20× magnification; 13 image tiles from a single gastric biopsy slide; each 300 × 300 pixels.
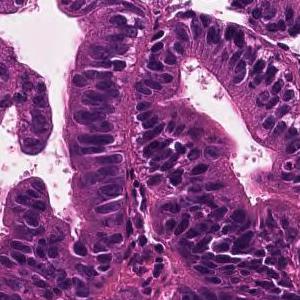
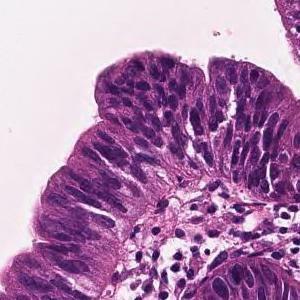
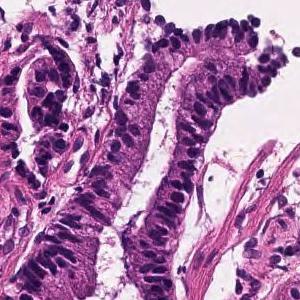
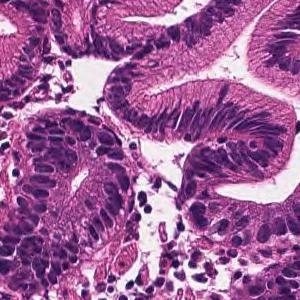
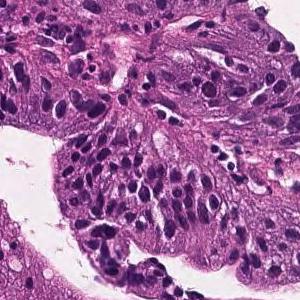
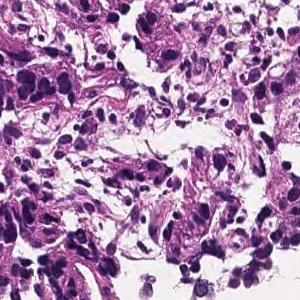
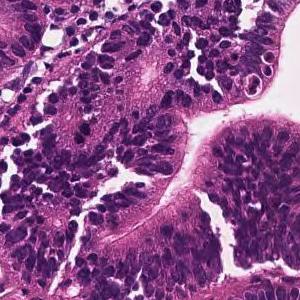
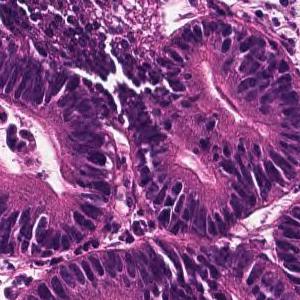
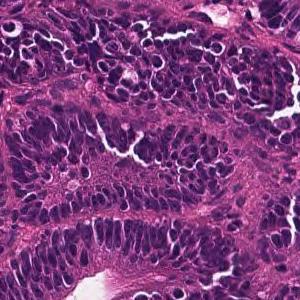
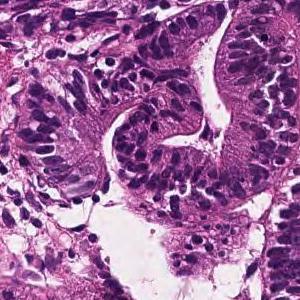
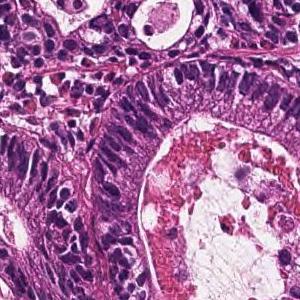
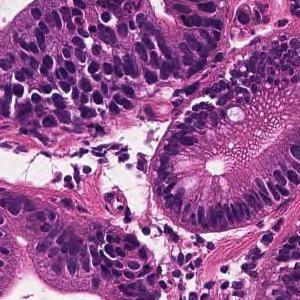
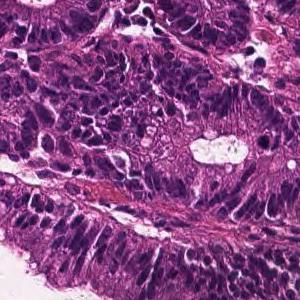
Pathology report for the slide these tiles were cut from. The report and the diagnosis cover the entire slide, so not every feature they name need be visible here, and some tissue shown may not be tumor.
A large irregular tubular structure is exhibited in the epithelium, and tumor tissue that partially fuses and infiltrates and proliferates is observed. Large columnar tumor cells exhibit enlarged nucleus, hyperchromatism, and mitotic figures. Well differentiated tubular adenocarcinoma
